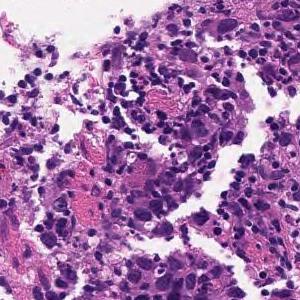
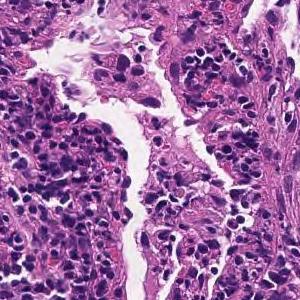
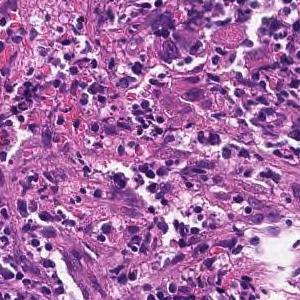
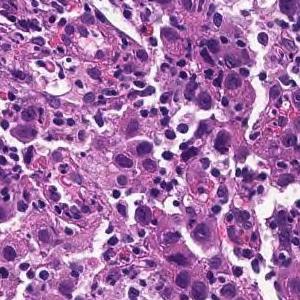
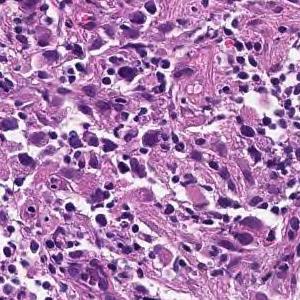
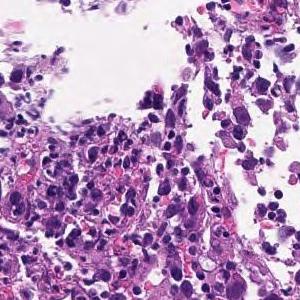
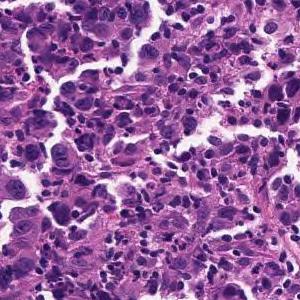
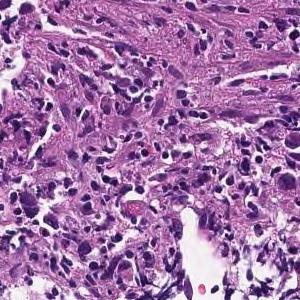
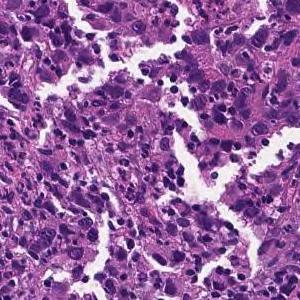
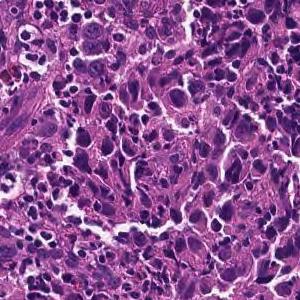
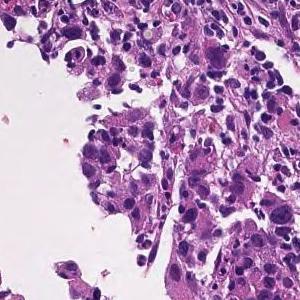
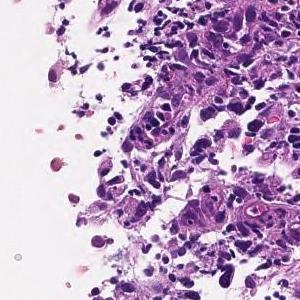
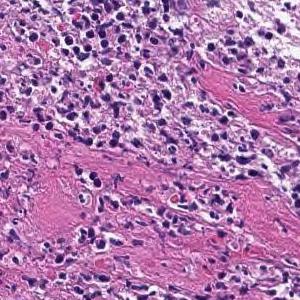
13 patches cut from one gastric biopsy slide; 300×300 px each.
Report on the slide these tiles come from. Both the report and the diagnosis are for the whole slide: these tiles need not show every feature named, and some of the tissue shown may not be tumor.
The superficial epithelium shows a large sheet-like shape, and some tumor tissue infiltrates with small irregular ducts. Poorly differentiated adenocarcinoma, solid-type (poorly differentiated adenocarcinoma, solid type)
Histologic type: Poorly differentiated adenocarcinoma, solid type, a category of the Japanese Classification of Gastric Carcinoma; in the WHO 2019 classification it is tubular adenocarcinoma, poorly differentiated.
